12 patches cut from one gastric biopsy slide · 300 × 300 pixels each · H&E stain · scanned at ×20.
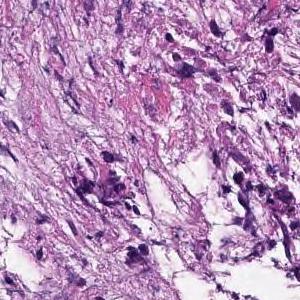
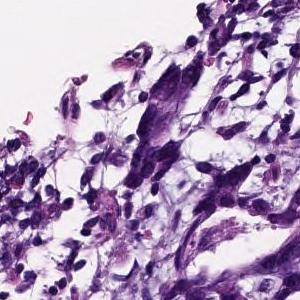
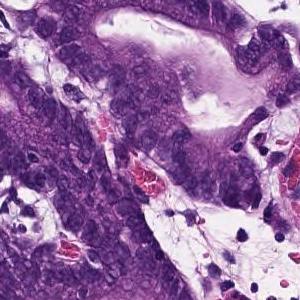
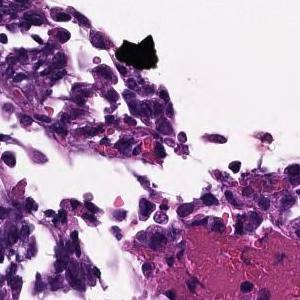
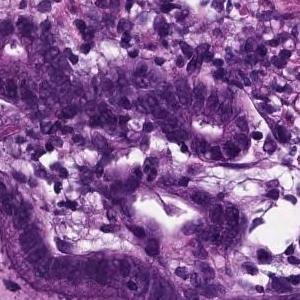
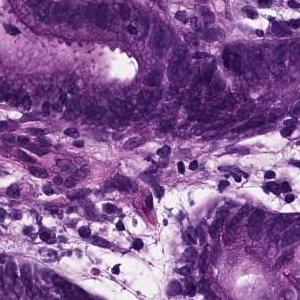
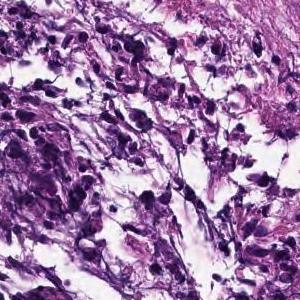
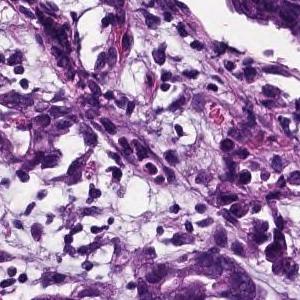
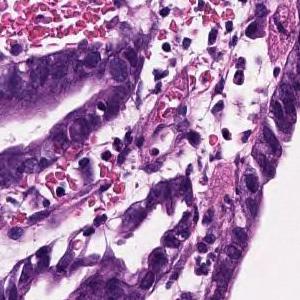
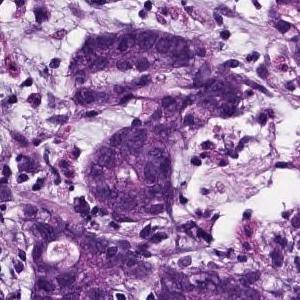
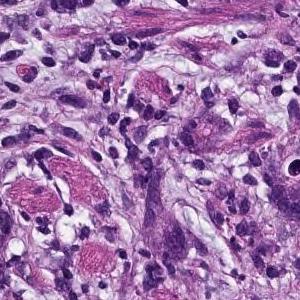
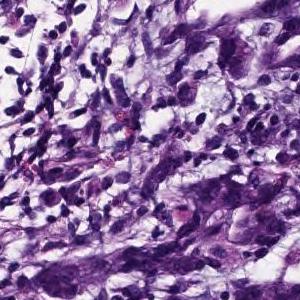
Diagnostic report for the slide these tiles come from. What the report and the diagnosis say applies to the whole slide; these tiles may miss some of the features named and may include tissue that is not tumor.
Tumor tissue consisting of medium-sized, cord-like or irregular glandular infiltration is observed in the superficial epithelium. Poorly differentiated adenocarcinoma, non-solid type or moderately differentiated tubular adenocarcinoma
Histologic type: Moderately to poorly differentiated adenocarcinoma.
The non-solid type named here is a Japanese Classification of Gastric Carcinoma category.
